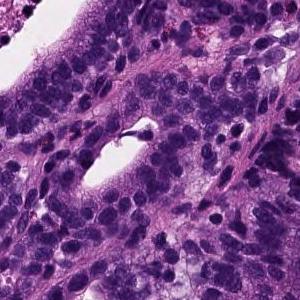
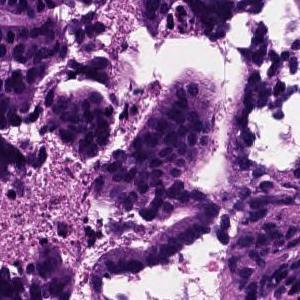
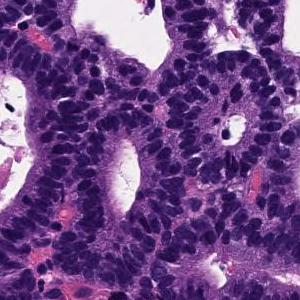
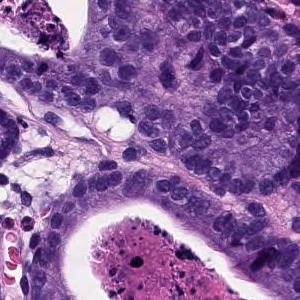
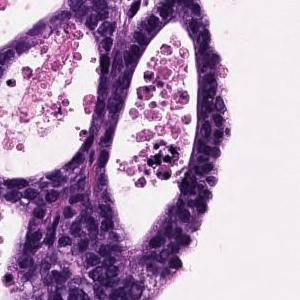
5 tiles cut from one stomach biopsy slide; 300 × 300 pixels each.
Pathology report for the slide these tiles were cut from. The findings and the diagnosis refer to the entire slide; these tiles show only part of it, possibly with non-tumor tissue, and may not show every feature named.
From the superficial epithelium to the muscularis mucosae, tumor tissue consisting of medium-sized and irregular glandular ducts infiltrating is observed. Well differentiated tubular adenocarcinoma
